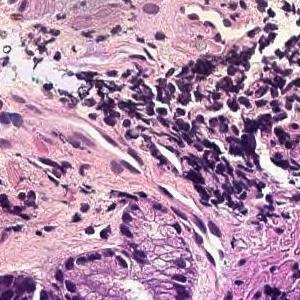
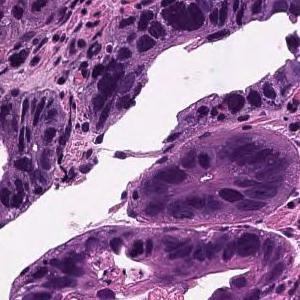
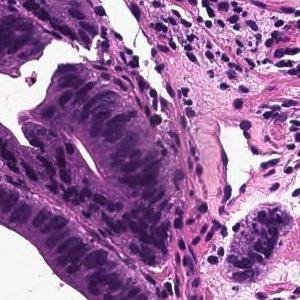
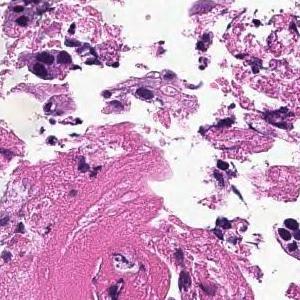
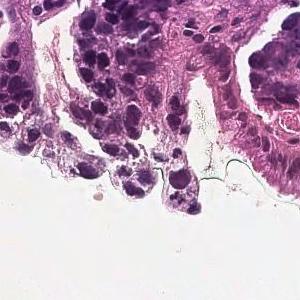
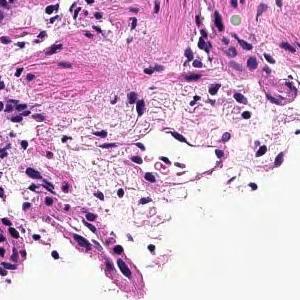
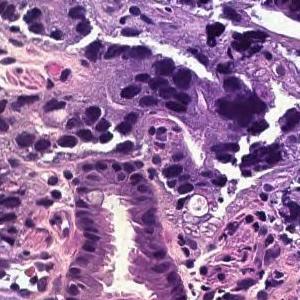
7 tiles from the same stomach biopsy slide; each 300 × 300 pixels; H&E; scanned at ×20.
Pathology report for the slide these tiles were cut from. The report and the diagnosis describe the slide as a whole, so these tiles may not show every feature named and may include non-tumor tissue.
In the superficial epithelium, tumor tissue that invades by forming medium-sized to small, irregular ducts is observed. moderately differentiated tubular adenocarcinoma.
